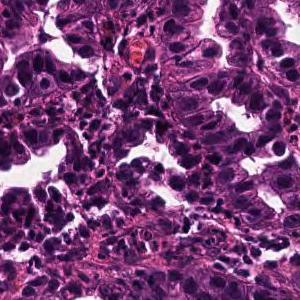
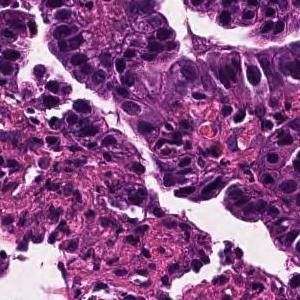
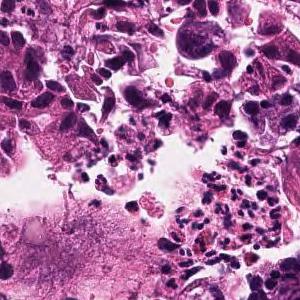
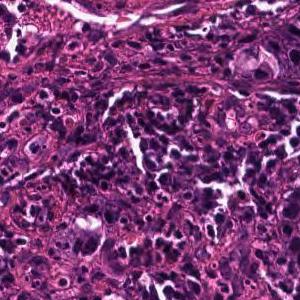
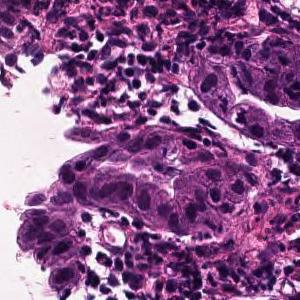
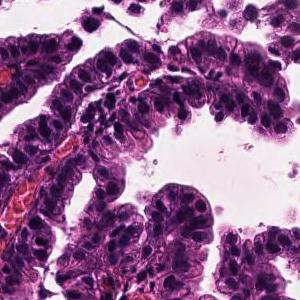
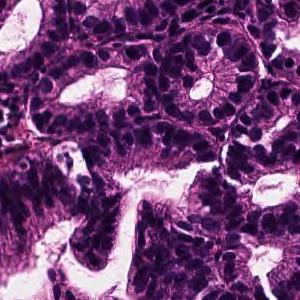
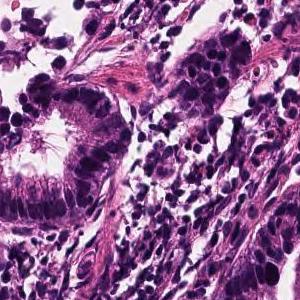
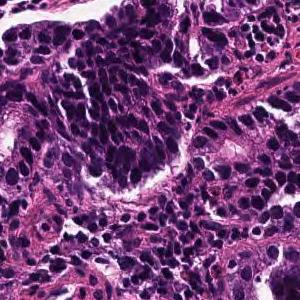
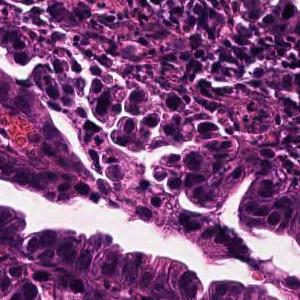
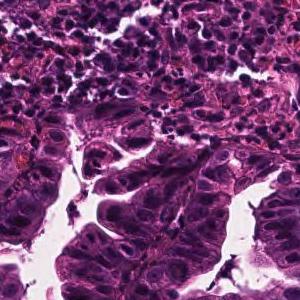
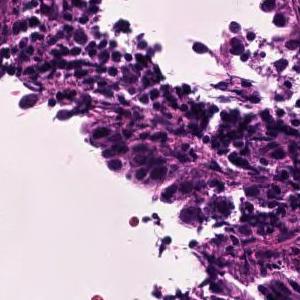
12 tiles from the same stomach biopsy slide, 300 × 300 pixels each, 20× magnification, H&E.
The pathologist's report on the biopsy slide these tiles were taken from. The findings and the diagnosis refer to the entire slide; these tiles show only part of it, possibly with non-tumor tissue, and may not show every feature named.
Tumor tissue consisting of large papillary structures is found in the superficial epithelium. Papillary adenocarcinoma.
